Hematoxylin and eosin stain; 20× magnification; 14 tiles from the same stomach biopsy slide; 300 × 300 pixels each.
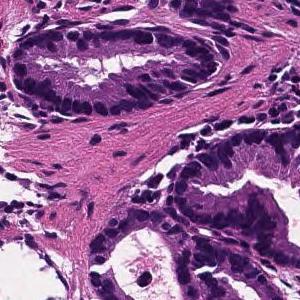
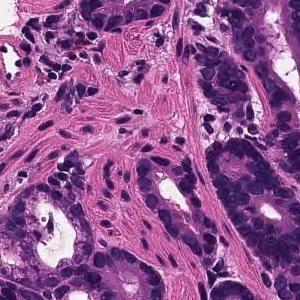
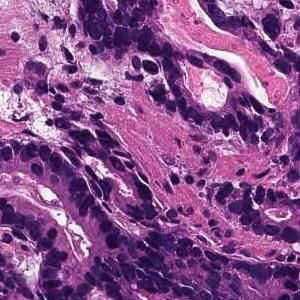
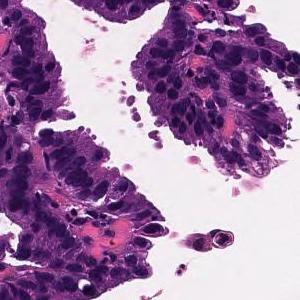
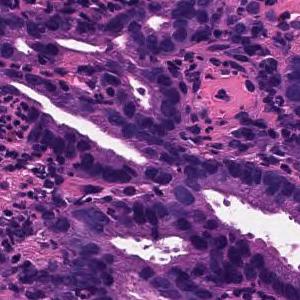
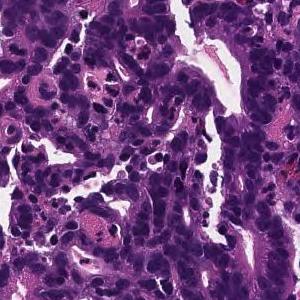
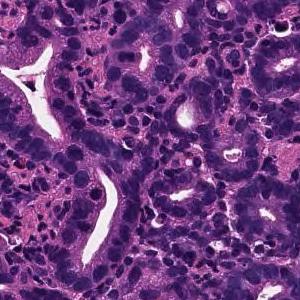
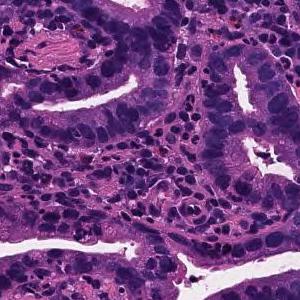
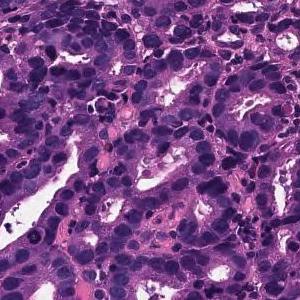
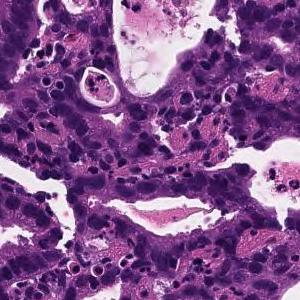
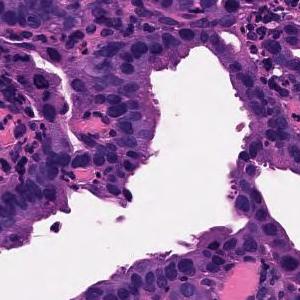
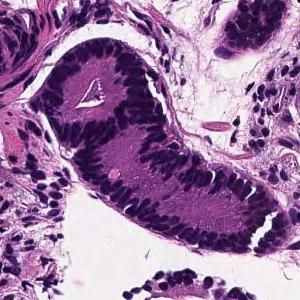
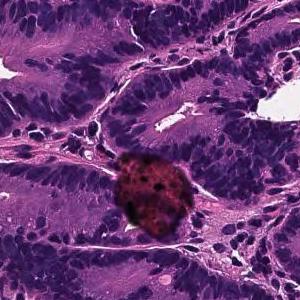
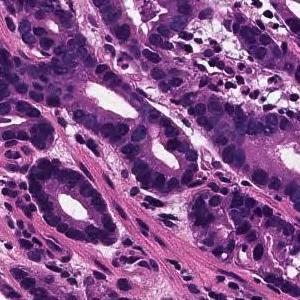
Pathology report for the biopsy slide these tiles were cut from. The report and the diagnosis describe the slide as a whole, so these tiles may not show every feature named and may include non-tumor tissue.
On the superficial epithelium, tumor tissue is found in which medium-sized irregular gland ducts fuse with each other and infiltrate. moderately differentiated tubular adenocarcinoma
